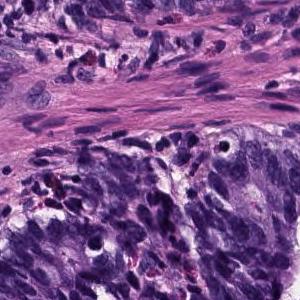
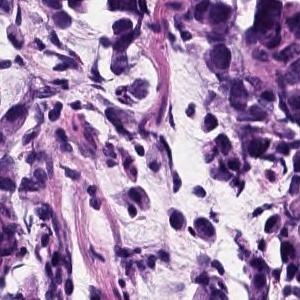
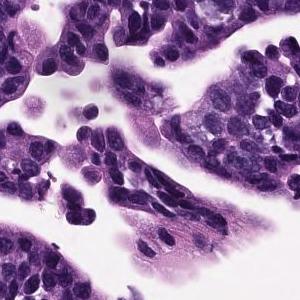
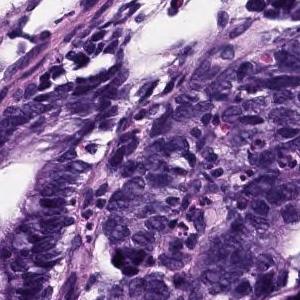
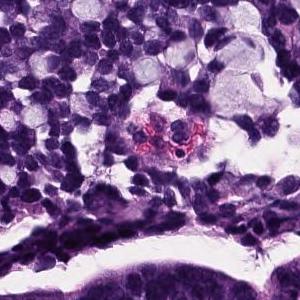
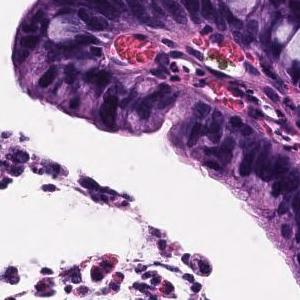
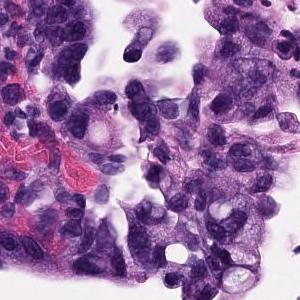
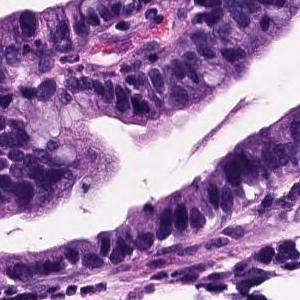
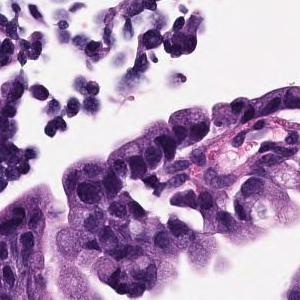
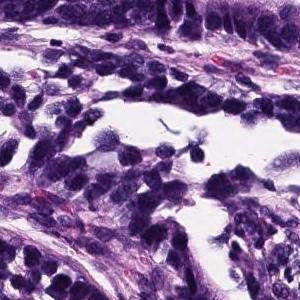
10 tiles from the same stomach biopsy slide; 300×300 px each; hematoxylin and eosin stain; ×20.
Pathology report for the slide these tiles were cut from. Both the report and the diagnosis are for the whole slide: these tiles need not show every feature named, and some of the tissue shown may not be tumor.
Atypical epithelium proliferating showing villus construction and irregular gland duct construction is observed. Moderately differentiated tubular adenocarcinoma.
